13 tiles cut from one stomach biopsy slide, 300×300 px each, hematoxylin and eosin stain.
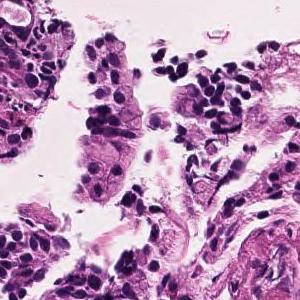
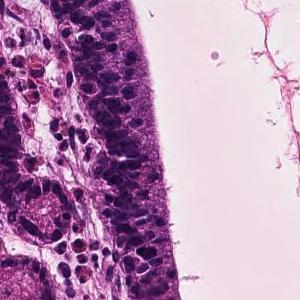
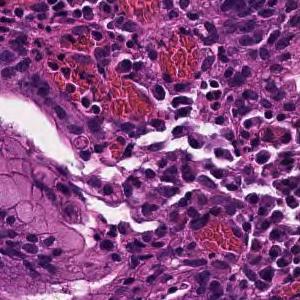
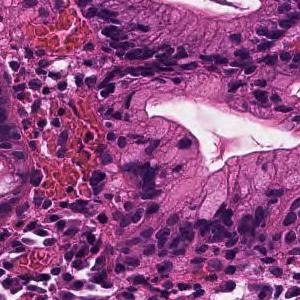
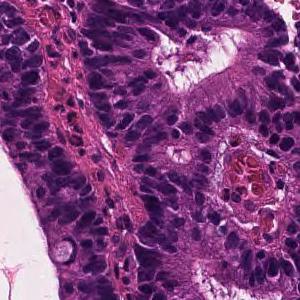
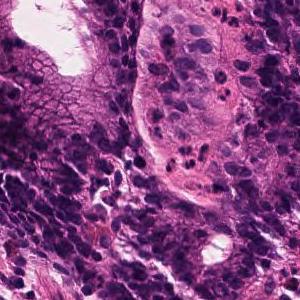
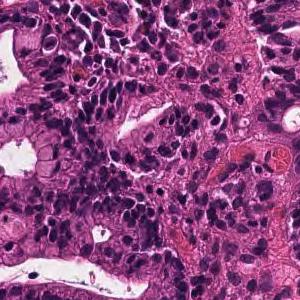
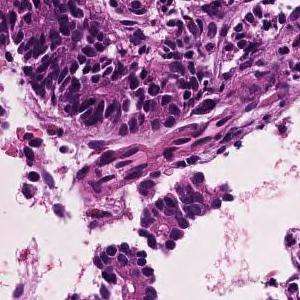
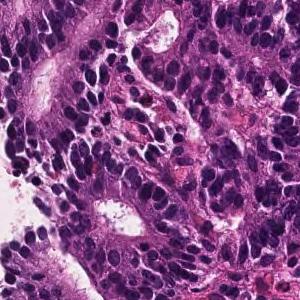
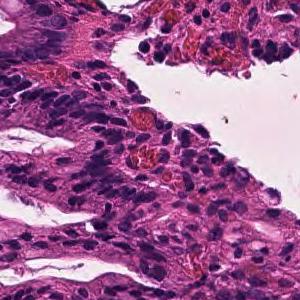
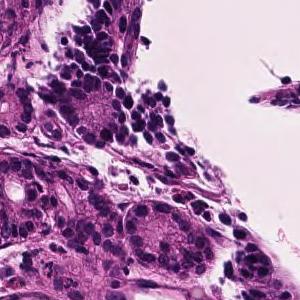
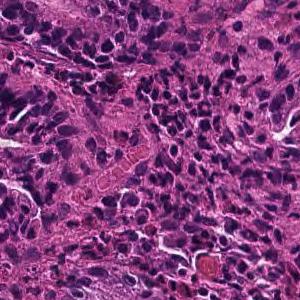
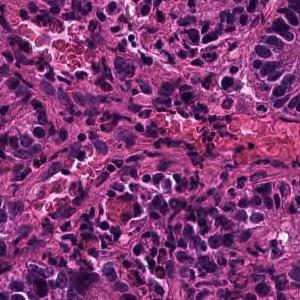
Pathology report for the biopsy slide these tiles were cut from. The report describes the whole slide, diagnosis included: not every finding it names need appear in these tiles, which may also show non-tumor tissue.
In the superficial epithelium, tumor tissue that invades by forming medium-sized to small, irregular ducts is observed. moderately differentiated tubular adenocarcinoma.
